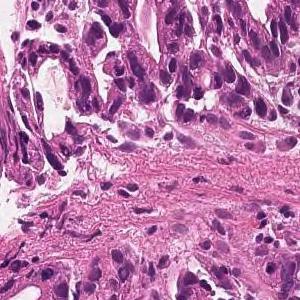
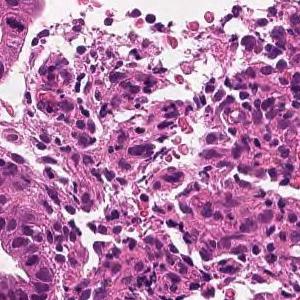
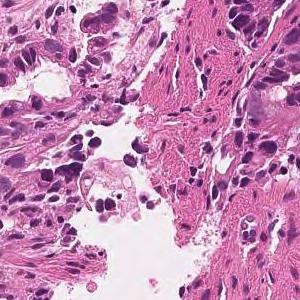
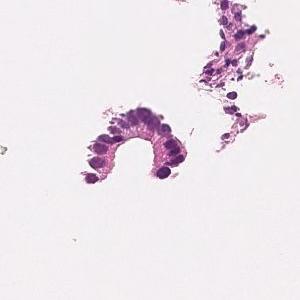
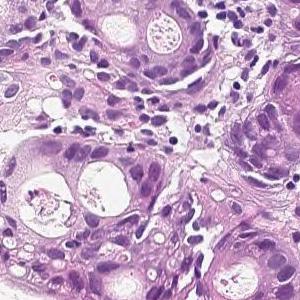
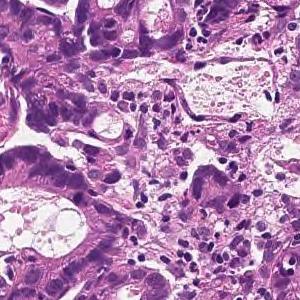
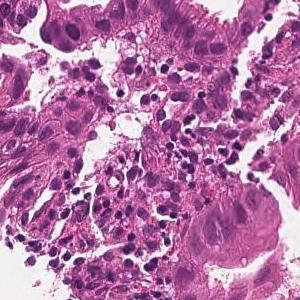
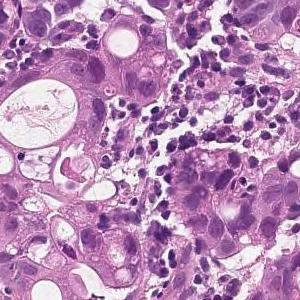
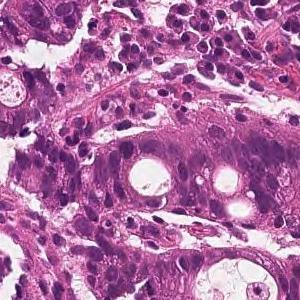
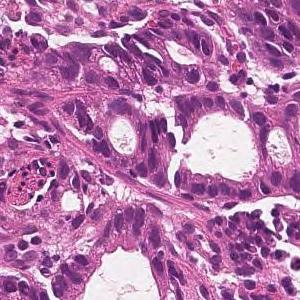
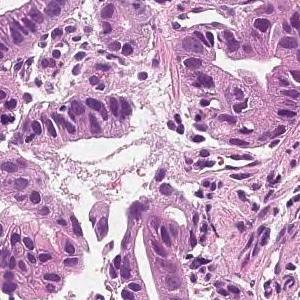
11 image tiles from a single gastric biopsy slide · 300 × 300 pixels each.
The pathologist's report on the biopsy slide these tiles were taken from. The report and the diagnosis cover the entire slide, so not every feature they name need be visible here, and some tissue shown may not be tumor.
On the superficial epithelium, tumor tissue is found in which medium-sized irregular gland ducts fuse with each other and infiltrate. moderately differentiated tubular adenocarcinoma
